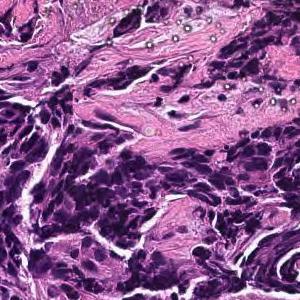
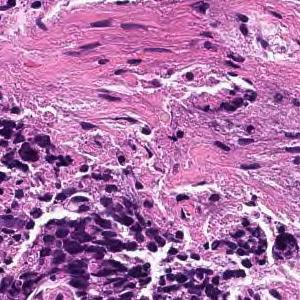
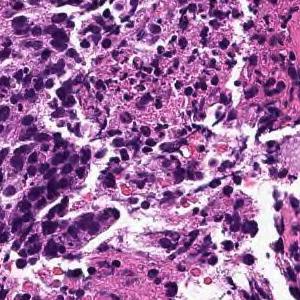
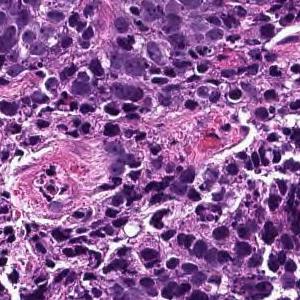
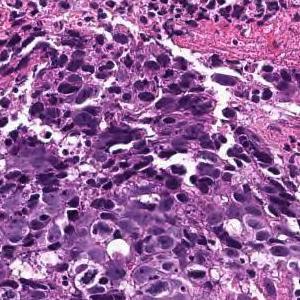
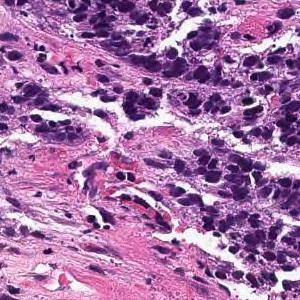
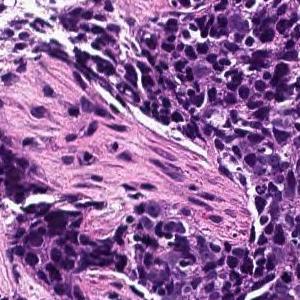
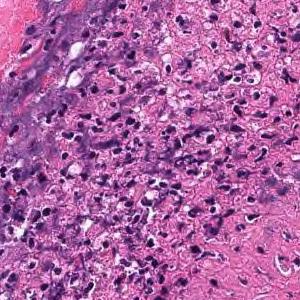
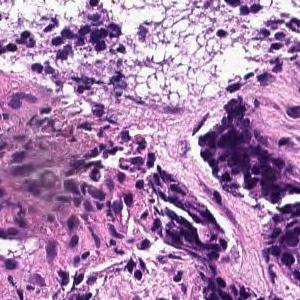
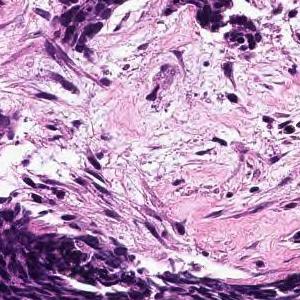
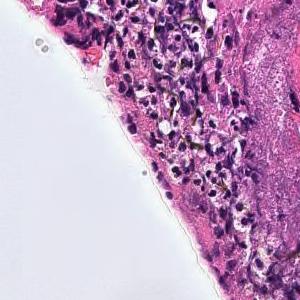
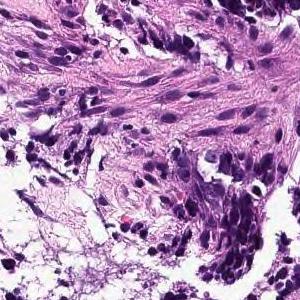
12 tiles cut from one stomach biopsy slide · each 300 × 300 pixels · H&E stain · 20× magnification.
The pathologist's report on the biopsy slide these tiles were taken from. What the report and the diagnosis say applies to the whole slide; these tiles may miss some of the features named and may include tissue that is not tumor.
The superficial epithelium shows a large sheet or alveolar shape, and tumor tissue infiltrating without irregular ducts is observed. Poorly differentiated adenocarcinoma, solid-type
Tumor subtype: poorly differentiated adenocarcinoma, solid type, a category of the Japanese Classification of Gastric Carcinoma; in the WHO 2019 classification it is tubular adenocarcinoma, poorly differentiated.
